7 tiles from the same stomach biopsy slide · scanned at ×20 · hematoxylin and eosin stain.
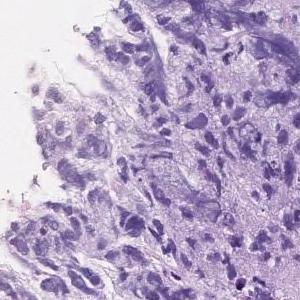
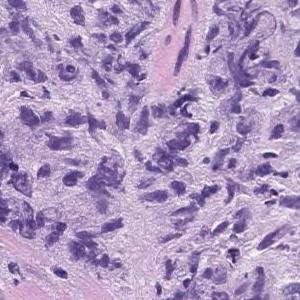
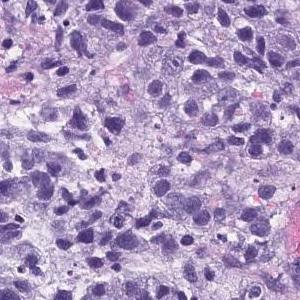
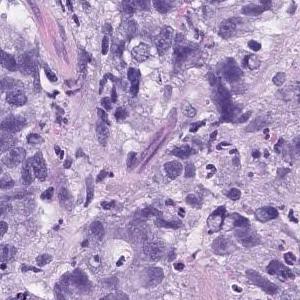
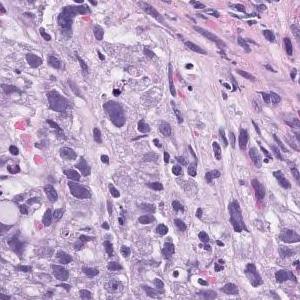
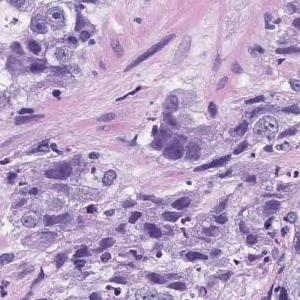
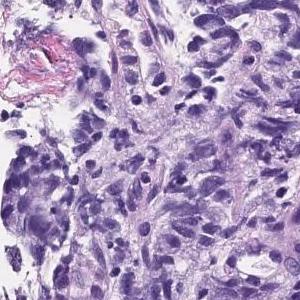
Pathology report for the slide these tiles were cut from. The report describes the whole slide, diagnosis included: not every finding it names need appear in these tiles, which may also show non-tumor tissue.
Atypical l cells with atypical nuclei forming solid vesicles or small irregular atypical ducts that proliferate in a complex manner. poorly differentiated adenocarcinoma, solid type, moderately differentiated tubular adenocarcinoma
The term "solid type" comes from the Japanese Classification of Gastric Carcinoma; the WHO 2019 equivalent is tubular adenocarcinoma, poorly differentiated.
